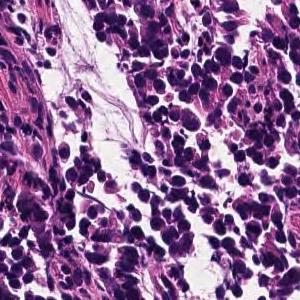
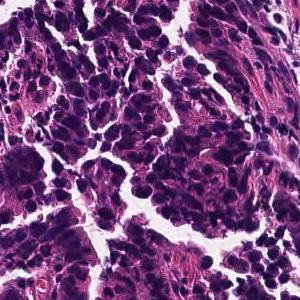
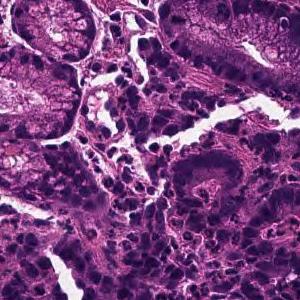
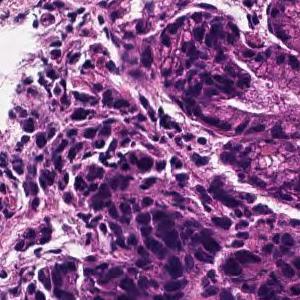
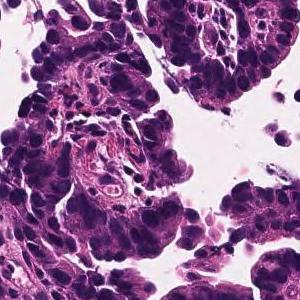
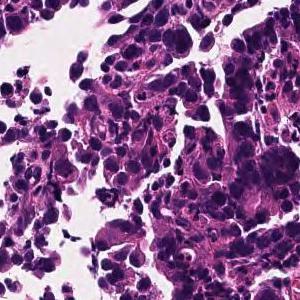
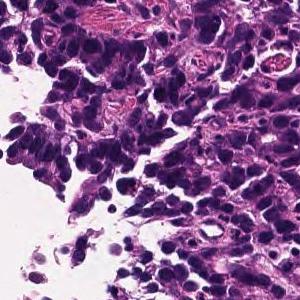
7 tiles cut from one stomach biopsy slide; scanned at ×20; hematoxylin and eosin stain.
Pathology report for the biopsy slide these tiles were cut from. The report and the diagnosis describe the slide as a whole, so these tiles may not show every feature named and may include non-tumor tissue.
Medium to small, irregular glandular ducts are formed in the superficial epithelium, and in some cases, the glandular ducts are fused to show solid alveolar lesions and infiltrating tumor tissue is observed. Moderately to poorly differentiated adenocarcinoma.
